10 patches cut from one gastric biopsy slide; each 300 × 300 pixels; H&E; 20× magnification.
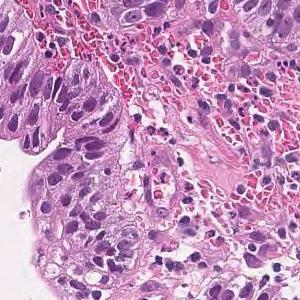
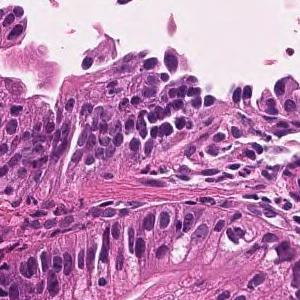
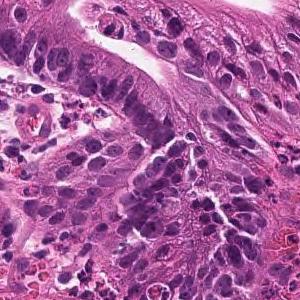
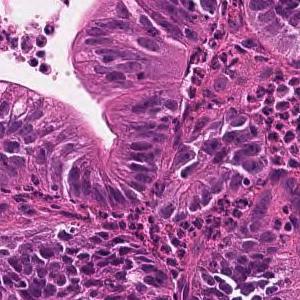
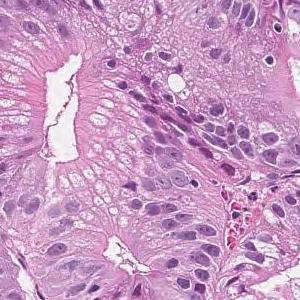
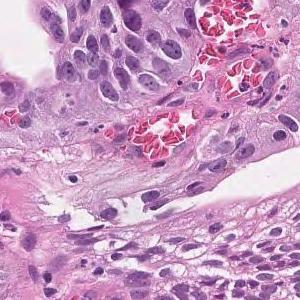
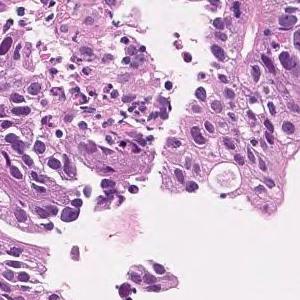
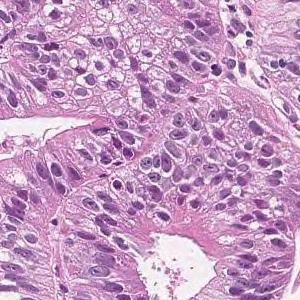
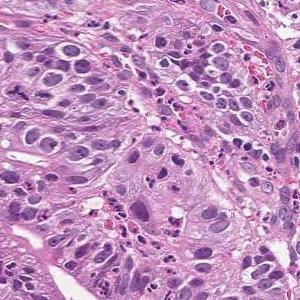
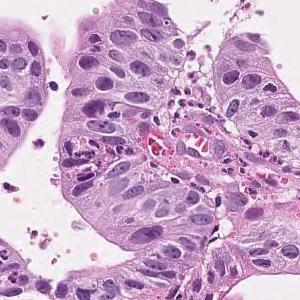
Pathology report for the slide these tiles were cut from. The report and the diagnosis describe the slide as a whole, so these tiles may not show every feature named and may include non-tumor tissue.
Tumor cells are large, highly columnar, large club-shaped nuclei, and are associated with chromatin aggregation. Papillary adenocarcinoma.
